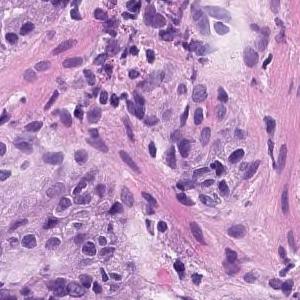
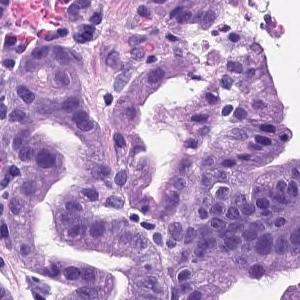
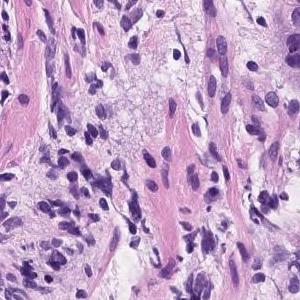
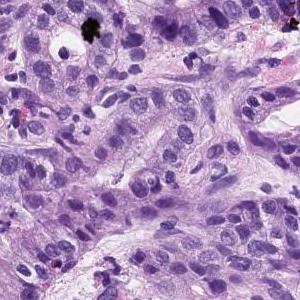
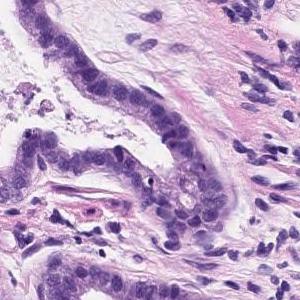
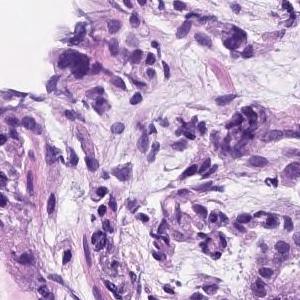
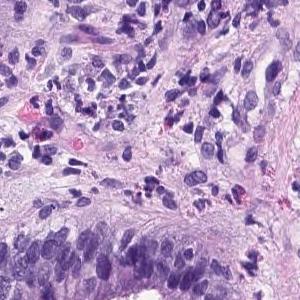
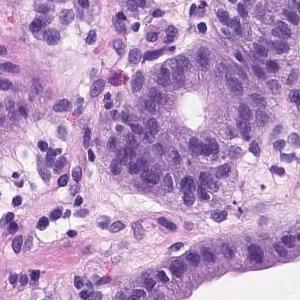
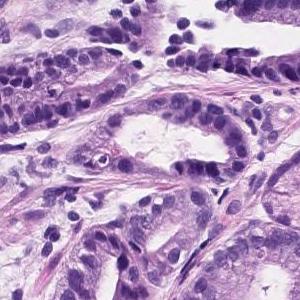
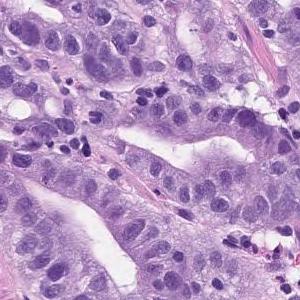
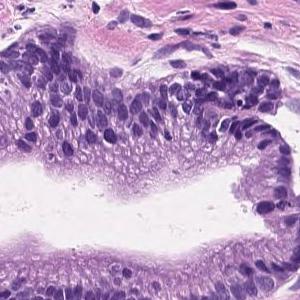
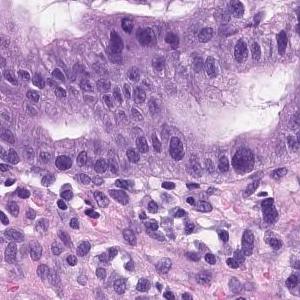
H&E, 20× magnification, 12 tiles cut from one stomach biopsy slide, 300×300 px each.
Diagnostic report for the slide these tiles come from. The report describes the whole slide, diagnosis included: not every finding it names need appear in these tiles, which may also show non-tumor tissue.
Tumor tissue consisting of medium-sized and irregular ducts is observed infiltrating in the superficial epithelium. Tumor cells are highly columnar, with nuclei aligned basolaterally and polarized. Well differentiated tubular adenocarcinoma.
